13 tiles cut from one stomach biopsy slide · each 300 × 300 pixels · H&E stain.
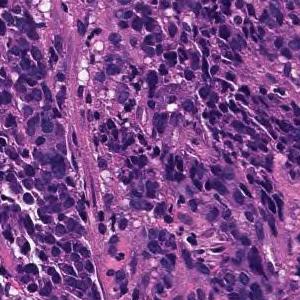
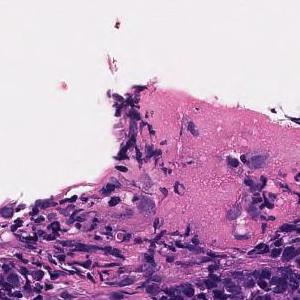
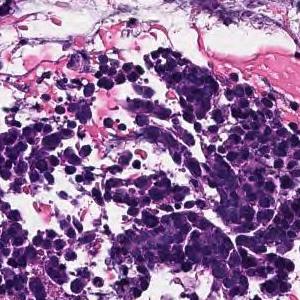
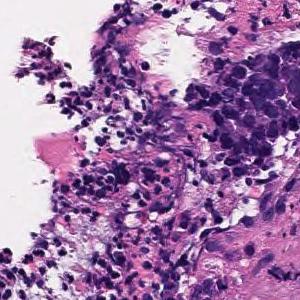
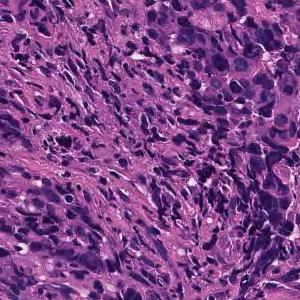
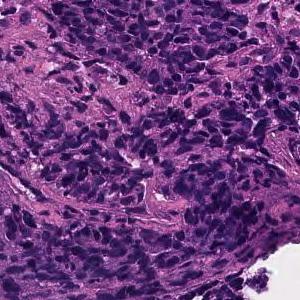
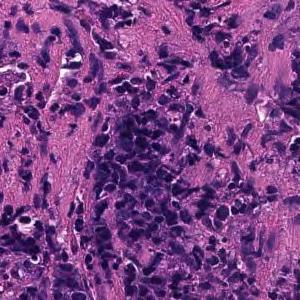
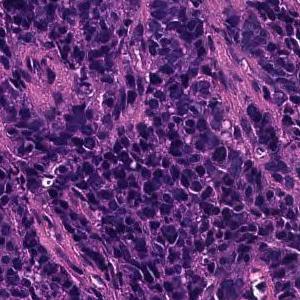
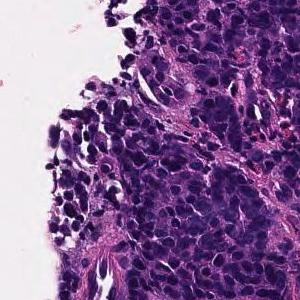
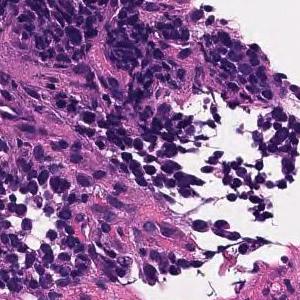
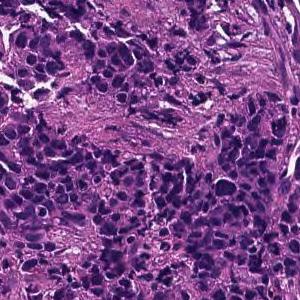
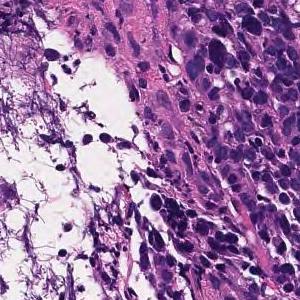
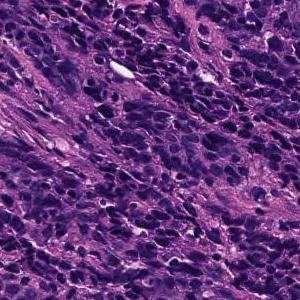
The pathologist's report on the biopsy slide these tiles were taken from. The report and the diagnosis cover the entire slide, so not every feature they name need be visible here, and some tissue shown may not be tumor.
Tumor tissue consisting of cord-like or small, irregular glandular ducts fused and infiltrated is observed in the superficial epithelium. Poorly differentiated adenocarcinoma, non-solid type
The non-solid type named here is a Japanese Classification of Gastric Carcinoma category.
